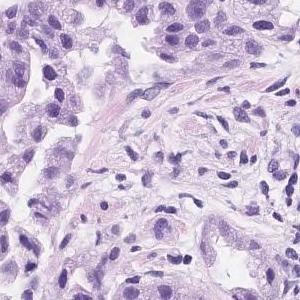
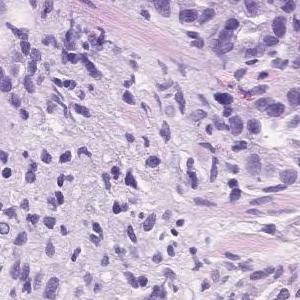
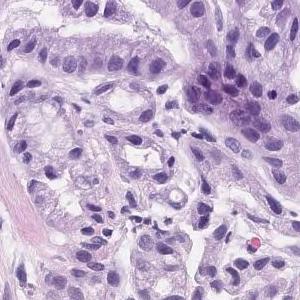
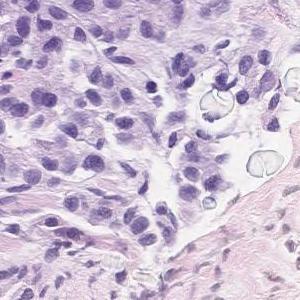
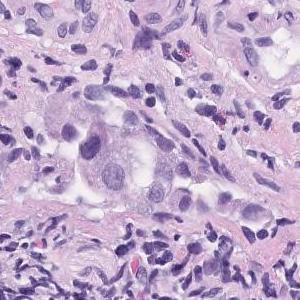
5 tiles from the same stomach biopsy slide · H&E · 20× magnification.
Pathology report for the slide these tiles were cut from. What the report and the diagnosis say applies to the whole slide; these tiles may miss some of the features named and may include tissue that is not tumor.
Atypical epithelial cells with some large atypical nuclei growing in the form of agglomerates or cords from tubular glands is observed. moderately differentiated tubular adenocarcinoma
